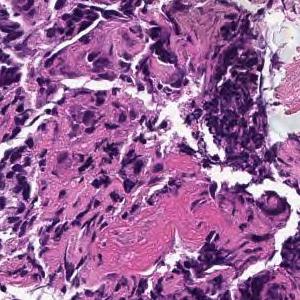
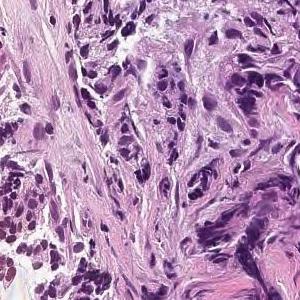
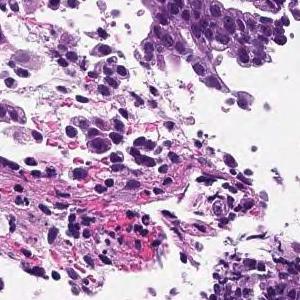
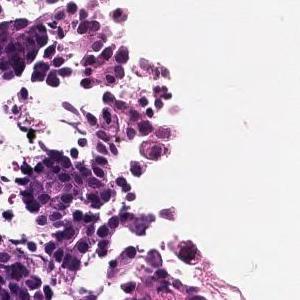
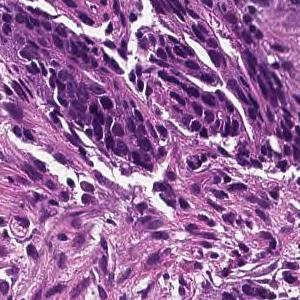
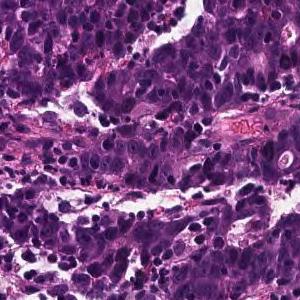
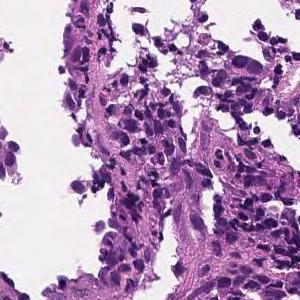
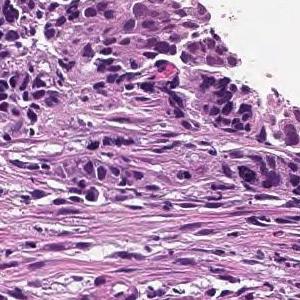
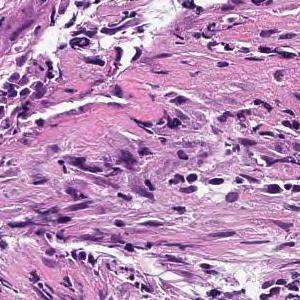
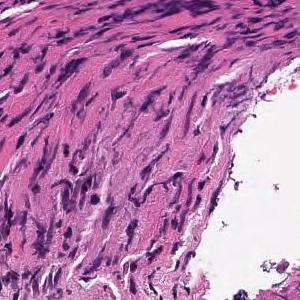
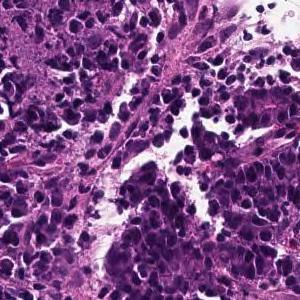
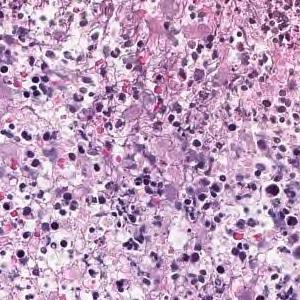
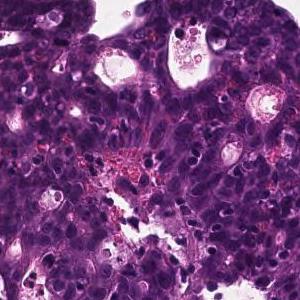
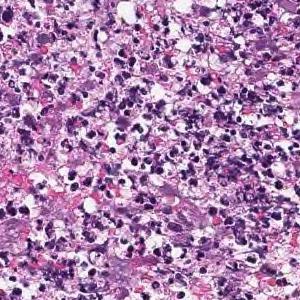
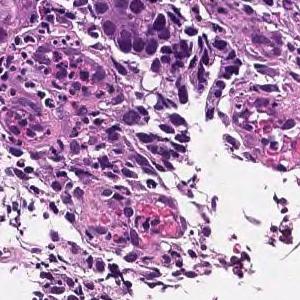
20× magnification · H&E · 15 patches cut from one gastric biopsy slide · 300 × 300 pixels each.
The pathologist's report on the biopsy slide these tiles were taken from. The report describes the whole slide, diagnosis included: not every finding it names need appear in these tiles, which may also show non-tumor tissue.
In the superficial epithelium, tumor tissue that invades by forming medium-sized to small, irregular ducts is observed. moderately differentiated tubular adenocarcinoma.
